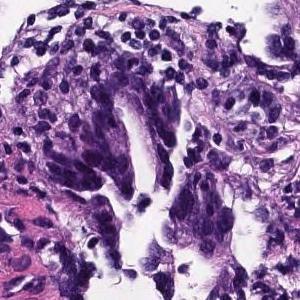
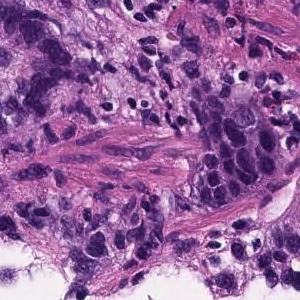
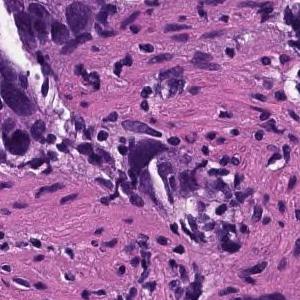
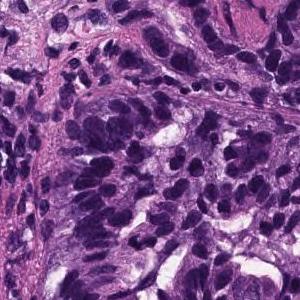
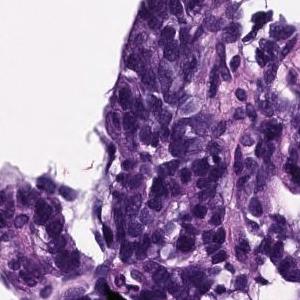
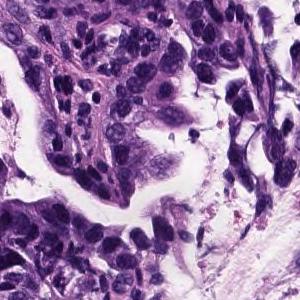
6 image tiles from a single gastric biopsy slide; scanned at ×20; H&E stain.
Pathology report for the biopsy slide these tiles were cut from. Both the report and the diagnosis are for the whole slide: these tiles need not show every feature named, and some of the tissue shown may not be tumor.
In the superficial epithelium, tumor tissue that invades by forming medium-sized to small, irregular ducts is observed. Moderately differentiated adenocarcinoma.
Tumor subtype: moderately differentiated tubular adenocarcinoma.
